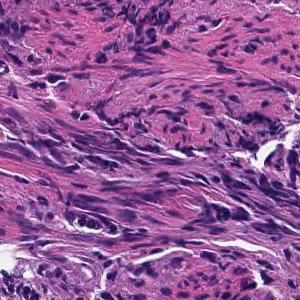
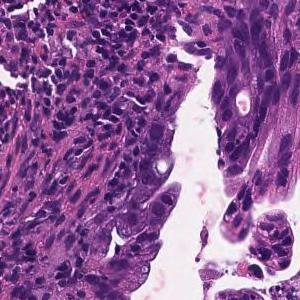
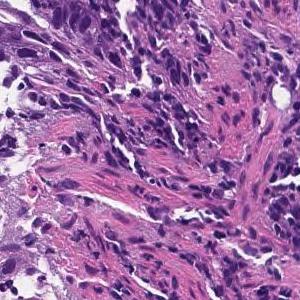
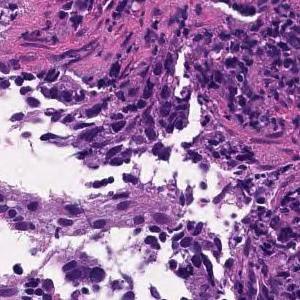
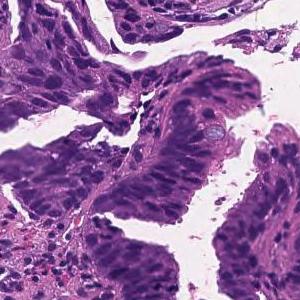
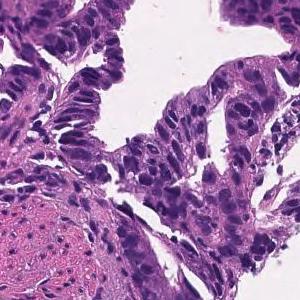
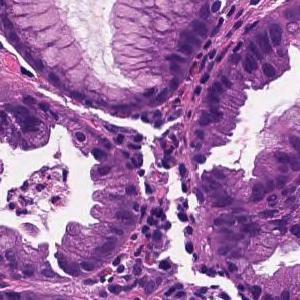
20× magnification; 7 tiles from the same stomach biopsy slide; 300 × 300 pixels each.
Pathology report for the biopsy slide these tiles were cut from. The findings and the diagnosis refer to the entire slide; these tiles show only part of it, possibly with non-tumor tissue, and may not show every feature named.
On the superficial epithelium, tumor tissue that infiltrates by forming medium-sized papillary or small irregular ducts is observed. Papillary adenocarcinoma
